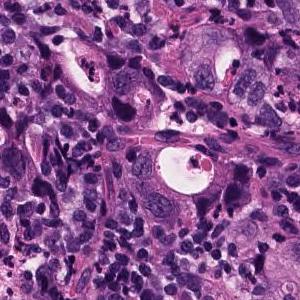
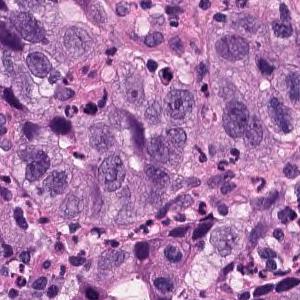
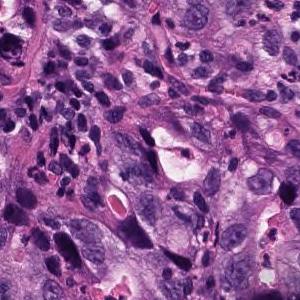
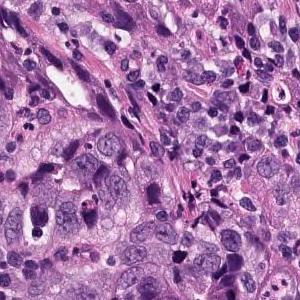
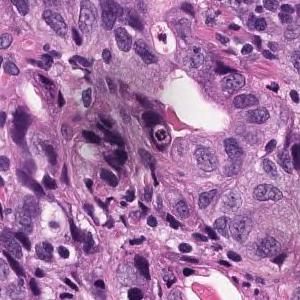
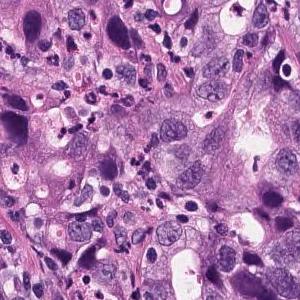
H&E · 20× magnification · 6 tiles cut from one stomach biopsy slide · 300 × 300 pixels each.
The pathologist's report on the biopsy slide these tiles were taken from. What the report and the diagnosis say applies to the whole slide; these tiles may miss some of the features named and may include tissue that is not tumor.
In the superficial epithelium, tumor tissue that invades by forming medium-sized to small, irregular ducts is observed. Moderately differentiated adenocarcinoma.
Histological subtype: Moderately differentiated tubular adenocarcinoma.
